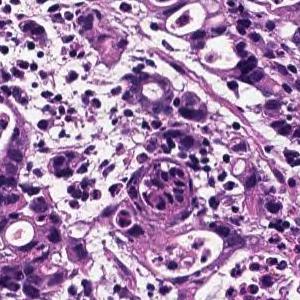
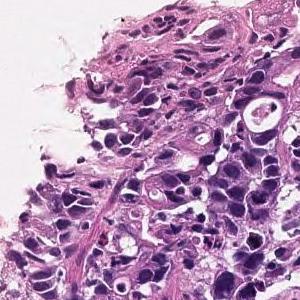
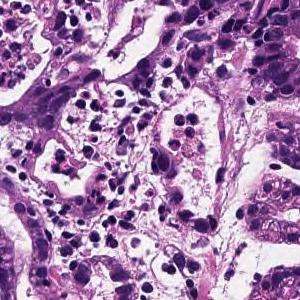
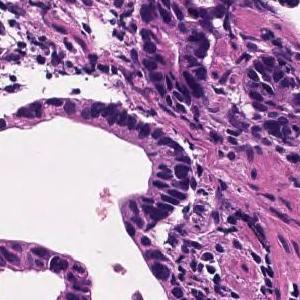
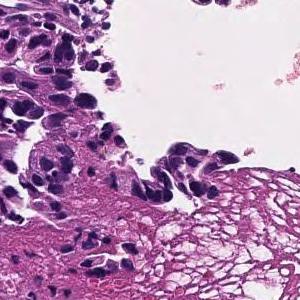
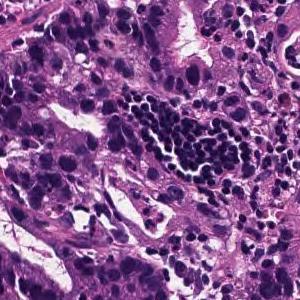
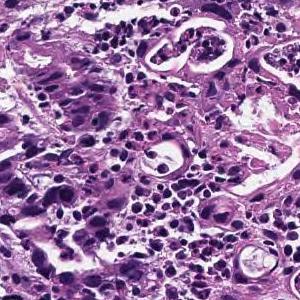
7 tiles from the same stomach biopsy slide; 300×300 px each; hematoxylin and eosin stain; ×20.
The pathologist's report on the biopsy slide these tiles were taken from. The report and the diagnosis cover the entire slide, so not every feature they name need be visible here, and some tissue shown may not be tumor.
In the superficial epithelium, tumor tissue that invades by forming medium-sized to small, irregular ducts is observed. moderately differentiated tubular adenocarcinoma.
